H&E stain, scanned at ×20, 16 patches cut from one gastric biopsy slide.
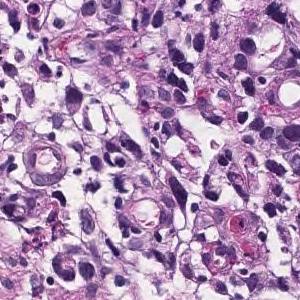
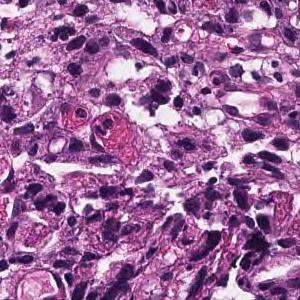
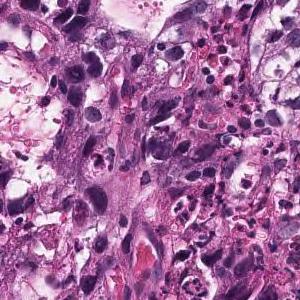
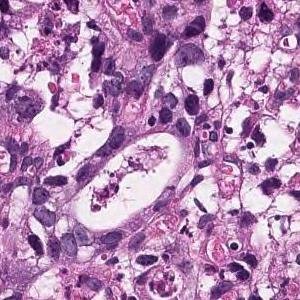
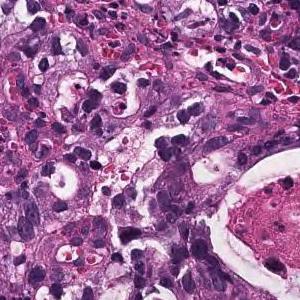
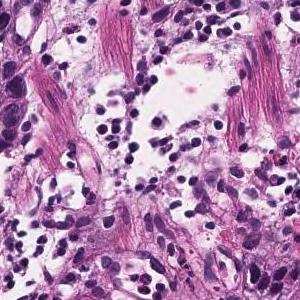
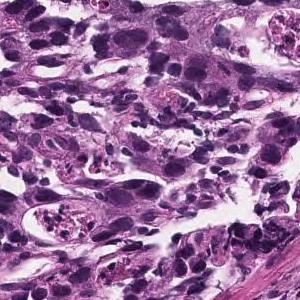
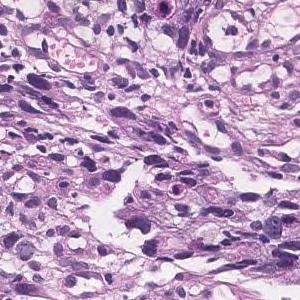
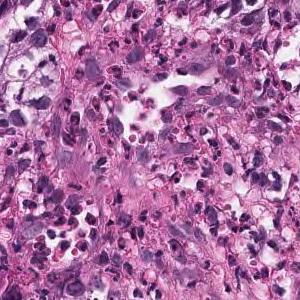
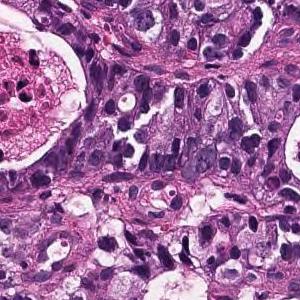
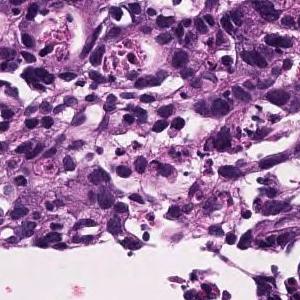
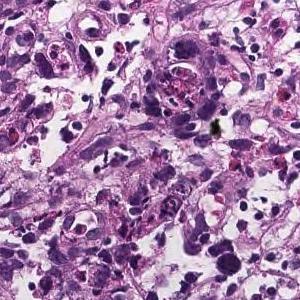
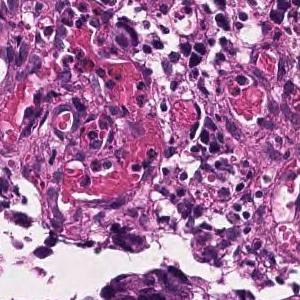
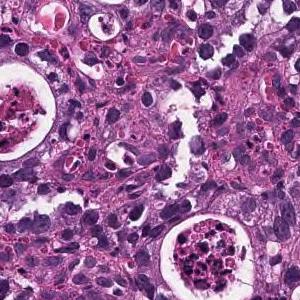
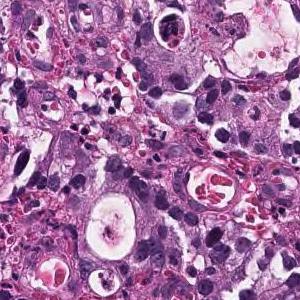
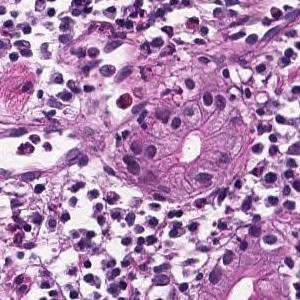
The pathologist's report on the biopsy slide these tiles were taken from. The findings and the diagnosis refer to the entire slide; these tiles show only part of it, possibly with non-tumor tissue, and may not show every feature named.
Tumor tissue consisting of medium-sized, cord-like or irregular glandular infiltration is observed in the superficial epithelium. Poorly differentiated adenocarcinoma, non-solid type or moderately differentiated tubular adenocarcinoma
The non-solid type named here is a Japanese Classification of Gastric Carcinoma category.
